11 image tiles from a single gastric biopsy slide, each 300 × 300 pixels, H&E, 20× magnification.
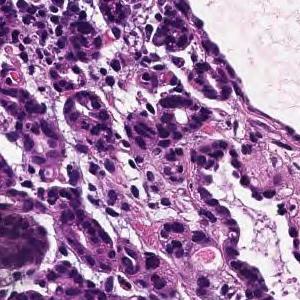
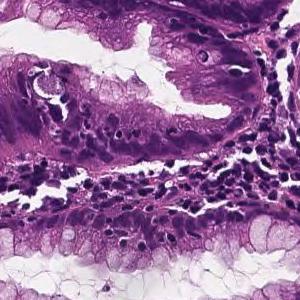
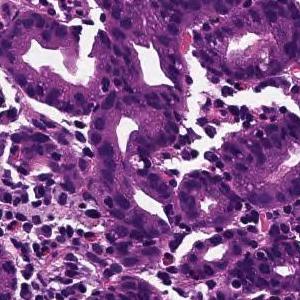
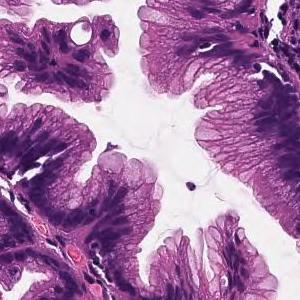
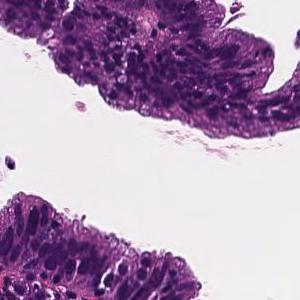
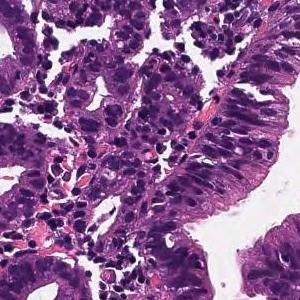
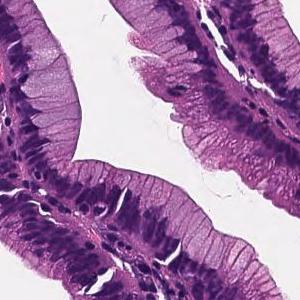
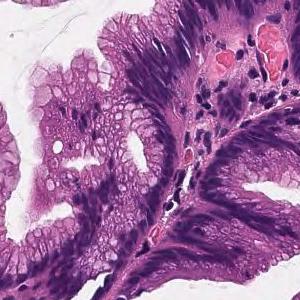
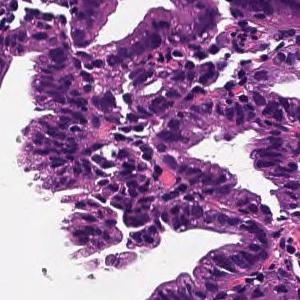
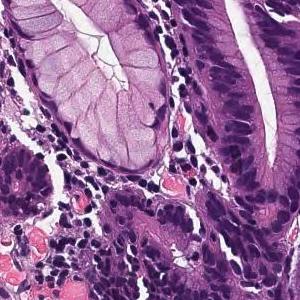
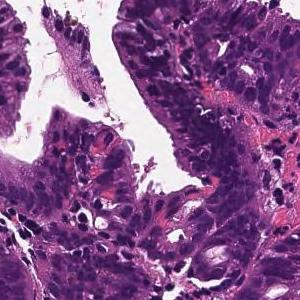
Diagnostic report for the slide these tiles come from. The report and the diagnosis cover the entire slide, so not every feature they name need be visible here, and some tissue shown may not be tumor.
Cells with elliptical or atypical nuclei form dense ducts with relatively clear growth. Well differentiated tubular adenocarcinoma
